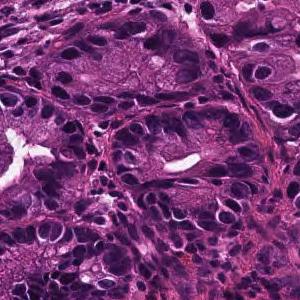
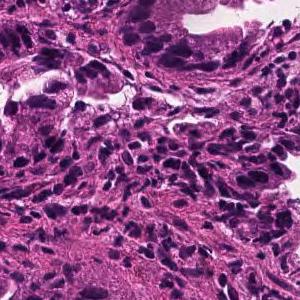
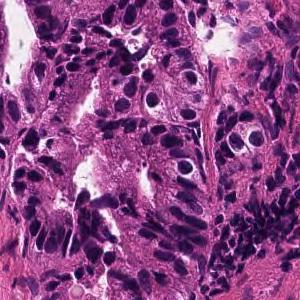
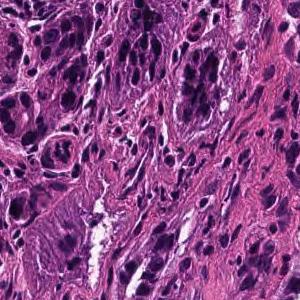
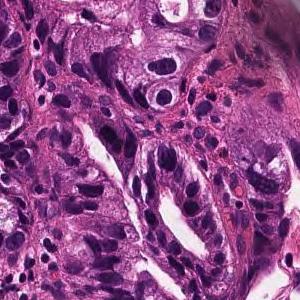
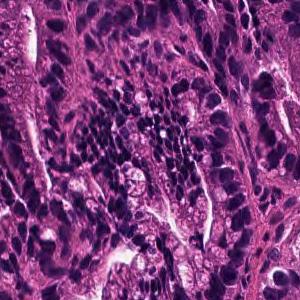
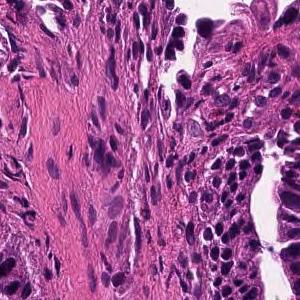
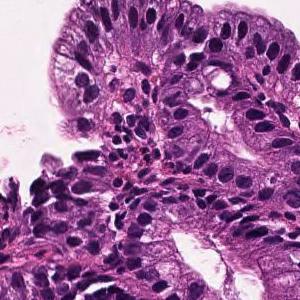
H&E, ×20, 8 tiles from the same stomach biopsy slide.
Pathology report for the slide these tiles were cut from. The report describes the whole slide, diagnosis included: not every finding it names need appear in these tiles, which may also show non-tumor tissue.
In the superficial epithelium, tumor tissue that invades by forming medium-sized to small, irregular ducts is observed. Well differentiated tubular adenocarcinoma.
